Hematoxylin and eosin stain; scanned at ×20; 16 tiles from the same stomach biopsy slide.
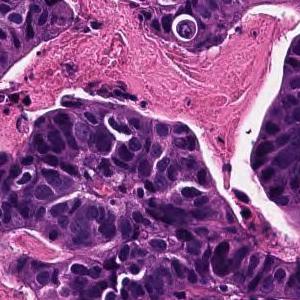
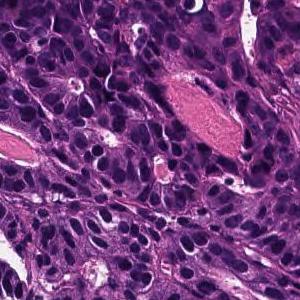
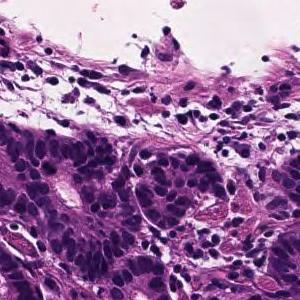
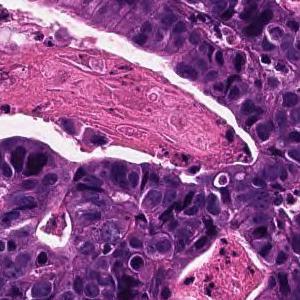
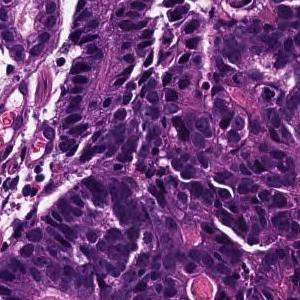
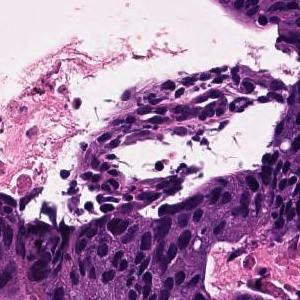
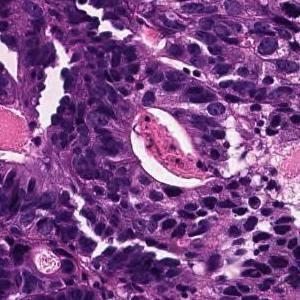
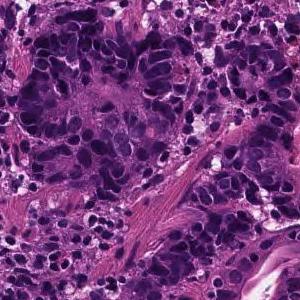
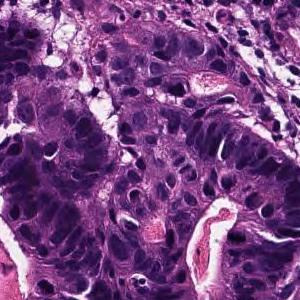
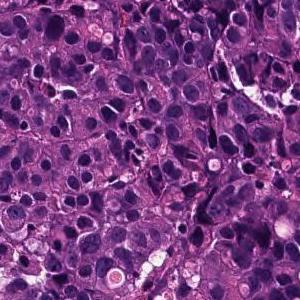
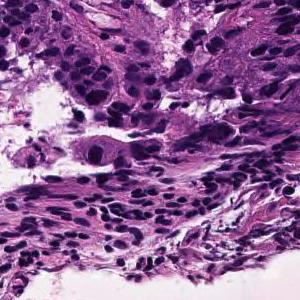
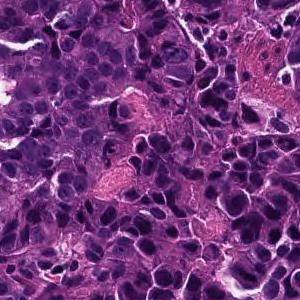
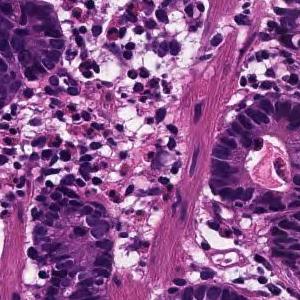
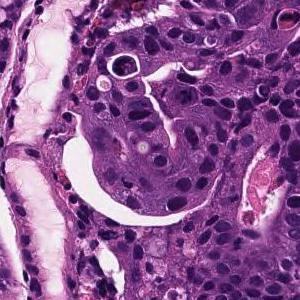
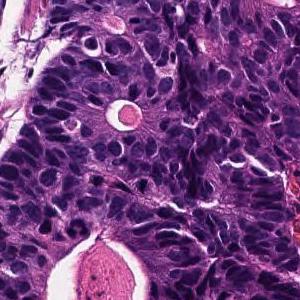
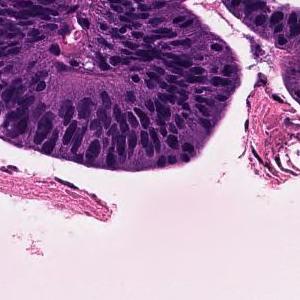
Report on the slide these tiles come from. The report and the diagnosis cover the entire slide, so not every feature they name need be visible here, and some tissue shown may not be tumor.
In the superficial epithelium, tumor tissue that invades by forming medium-sized to small, irregular ducts is observed. moderately differentiated tubular adenocarcinoma.
